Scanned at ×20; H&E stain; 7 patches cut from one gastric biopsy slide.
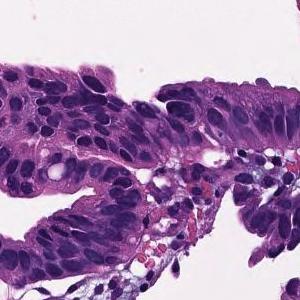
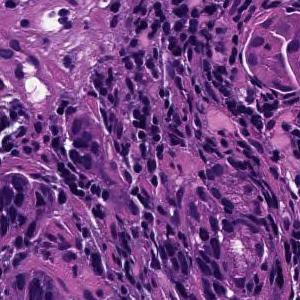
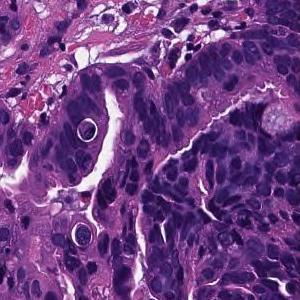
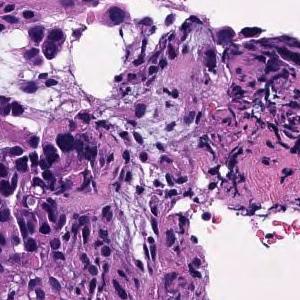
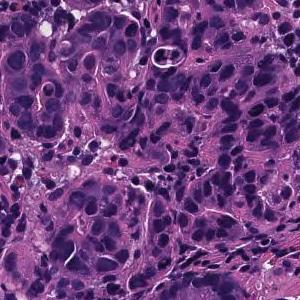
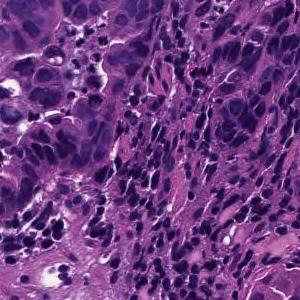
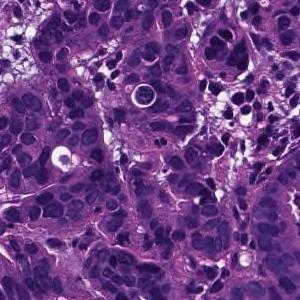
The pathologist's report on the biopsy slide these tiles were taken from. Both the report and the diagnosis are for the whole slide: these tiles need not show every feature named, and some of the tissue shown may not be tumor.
Tumor tissue consisting of medium-sized, cord-like or irregular glandular infiltration is observed in the superficial epithelium. Poorly differentiated adenocarcinoma, non-solid type or moderately differentiated tubular adenocarcinoma
Histologic type: Moderately to poorly differentiated adenocarcinoma.
"Non-solid type" is a category of the Japanese Classification of Gastric Carcinoma.
